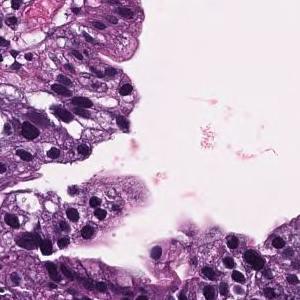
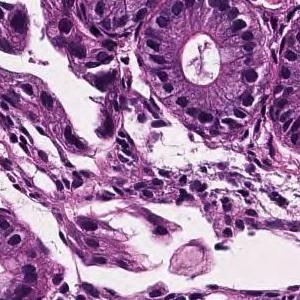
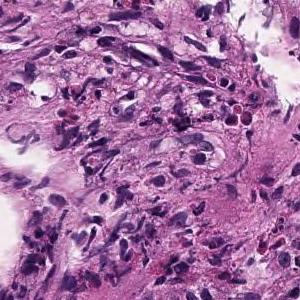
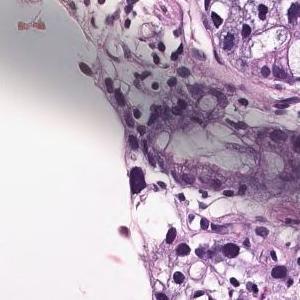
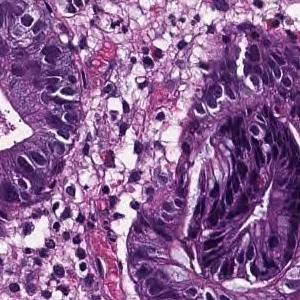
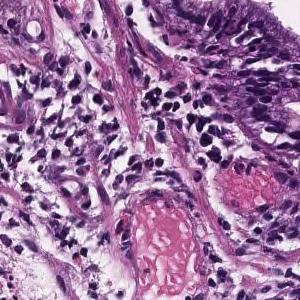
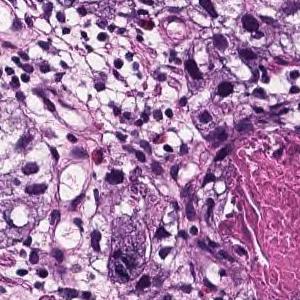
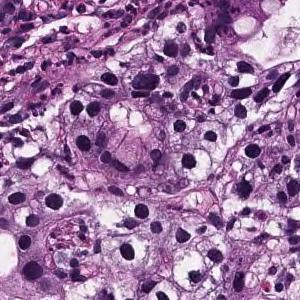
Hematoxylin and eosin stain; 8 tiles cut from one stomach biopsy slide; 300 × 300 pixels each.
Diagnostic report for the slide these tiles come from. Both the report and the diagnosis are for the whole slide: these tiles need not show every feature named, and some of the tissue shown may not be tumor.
In the superficial epithelium, medium to small irregular gland ducts are formed, and in some cases, the ducts are fused to show solid alveolar lesions and infiltrating tumor tissue is observed. Moderately to poorly differentiated adenocarcinoma
